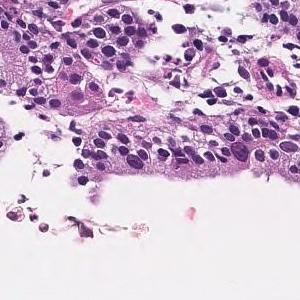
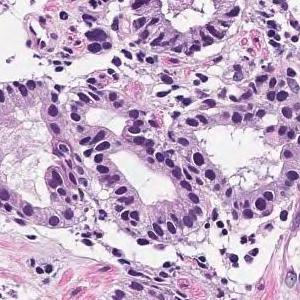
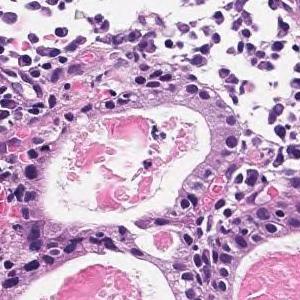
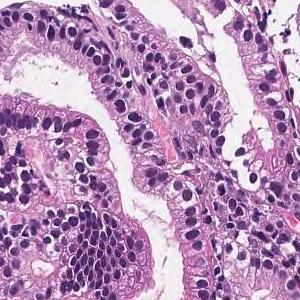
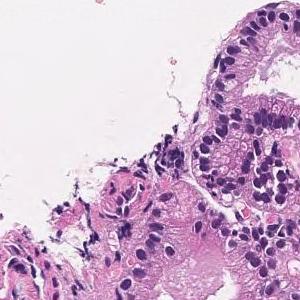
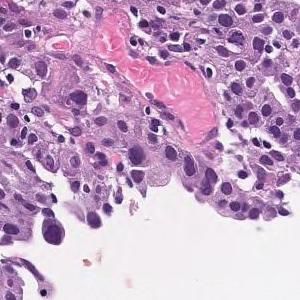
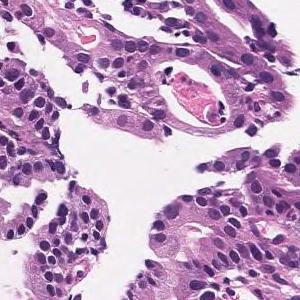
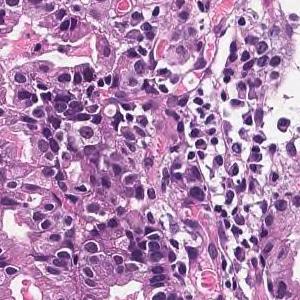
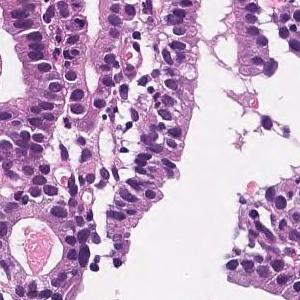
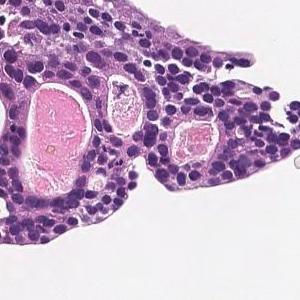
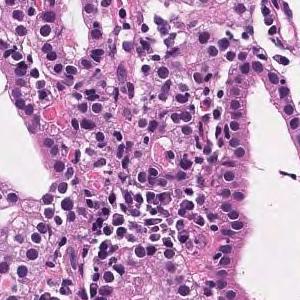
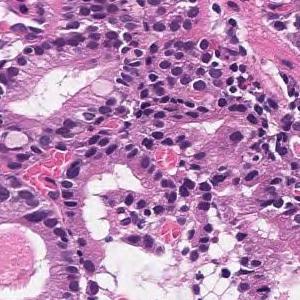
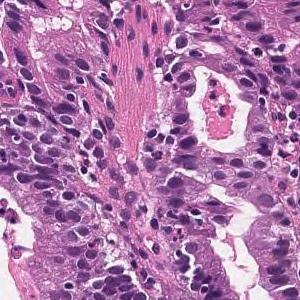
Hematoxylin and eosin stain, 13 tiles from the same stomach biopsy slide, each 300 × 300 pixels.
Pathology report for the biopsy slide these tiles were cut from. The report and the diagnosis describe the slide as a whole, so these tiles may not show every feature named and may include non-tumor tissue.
Medium to small, irregular glandular ducts are formed in the superficial epithelium, and in some cases, the glandular ducts are fused to show solid alveolar lesions and infiltrating tumor tissue is observed. Moderately to poorly differentiated adenocarcinoma.
